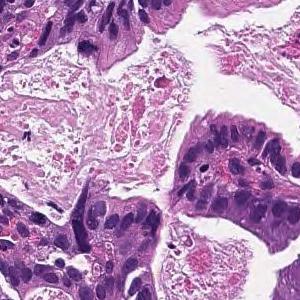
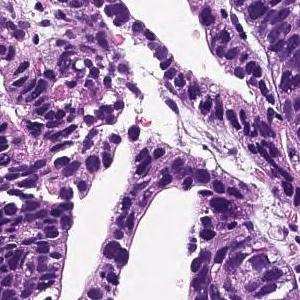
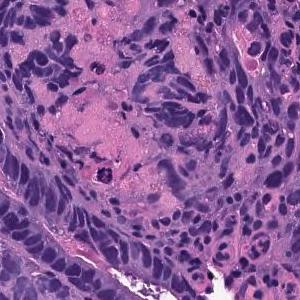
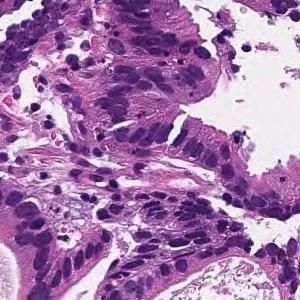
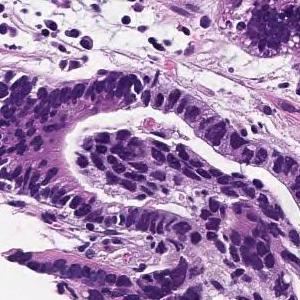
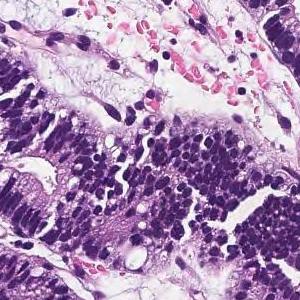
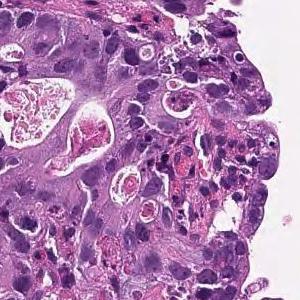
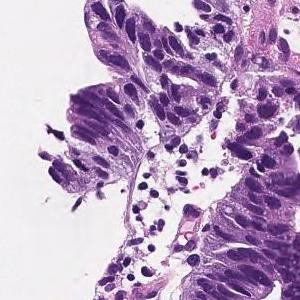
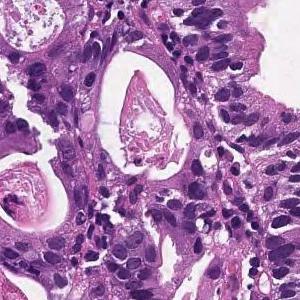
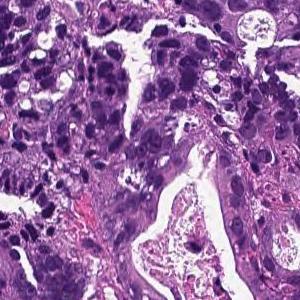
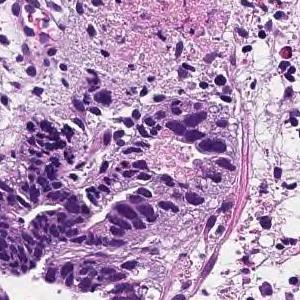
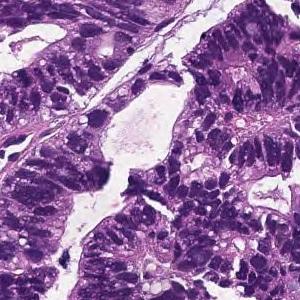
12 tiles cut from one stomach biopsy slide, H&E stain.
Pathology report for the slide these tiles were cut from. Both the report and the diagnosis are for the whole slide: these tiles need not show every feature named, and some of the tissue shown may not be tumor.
In the superficial epithelium, tumor tissue that invades by forming medium-sized to small, irregular ducts is observed. moderately differentiated tubular adenocarcinoma.
